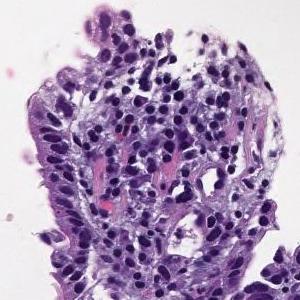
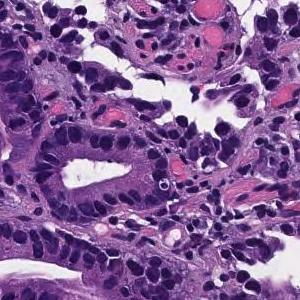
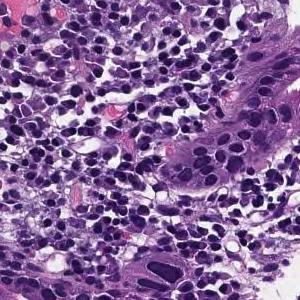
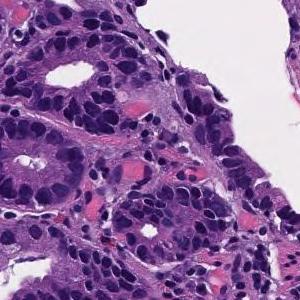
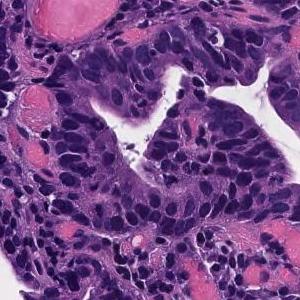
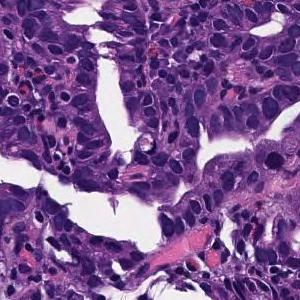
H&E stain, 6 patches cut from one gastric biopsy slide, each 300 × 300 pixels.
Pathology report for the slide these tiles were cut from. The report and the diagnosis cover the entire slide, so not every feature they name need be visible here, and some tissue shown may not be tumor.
From the superficial epithelium to the muscularis mucosae, tumor tissue consisting of medium-sized and irregular glandular ducts infiltrating is observed. Well differentiated tubular adenocarcinoma
